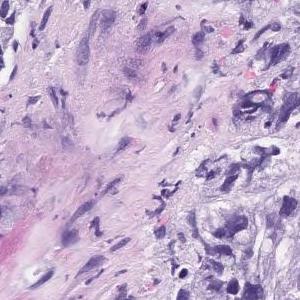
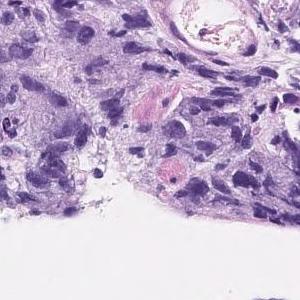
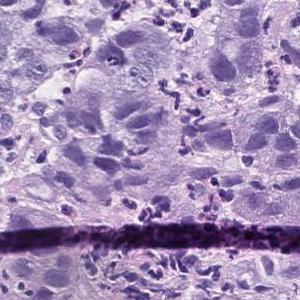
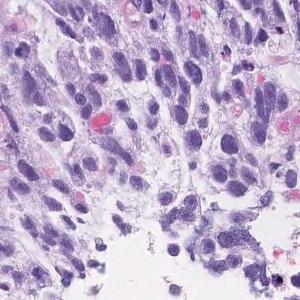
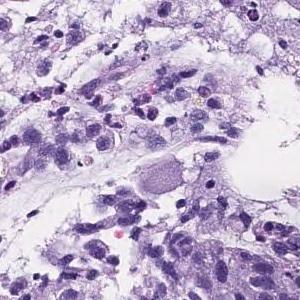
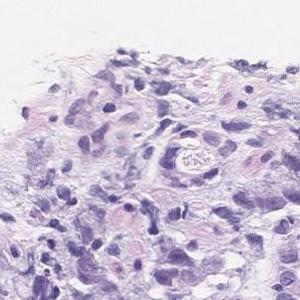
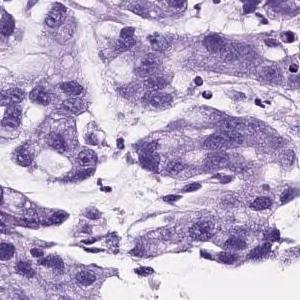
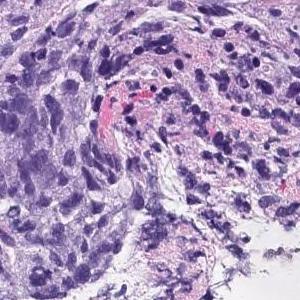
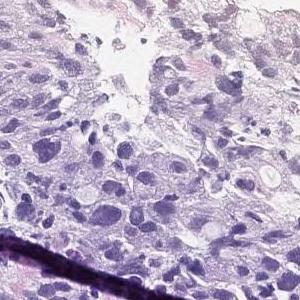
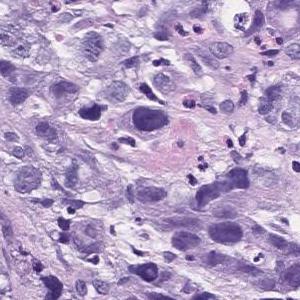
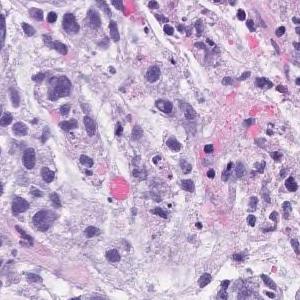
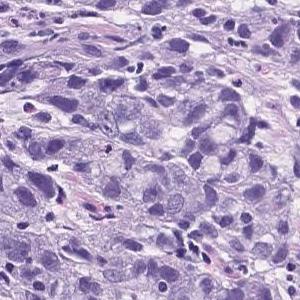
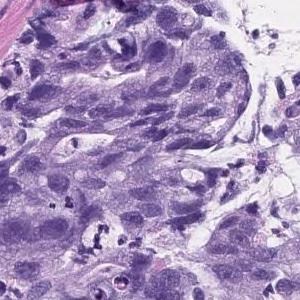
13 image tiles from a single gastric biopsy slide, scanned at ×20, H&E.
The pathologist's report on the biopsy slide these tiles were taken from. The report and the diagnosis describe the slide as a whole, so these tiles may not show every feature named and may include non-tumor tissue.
Atypical l cells with atypical nuclei forming solid vesicles or small irregular atypical ducts that proliferate in a complex manner. poorly differentiated adenocarcinoma, solid type, moderately differentiated tubular adenocarcinoma
The solid type named here is a Japanese Classification of Gastric Carcinoma category; WHO 2019 calls it tubular adenocarcinoma, poorly differentiated.
